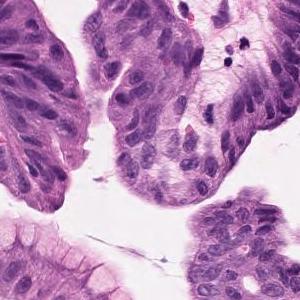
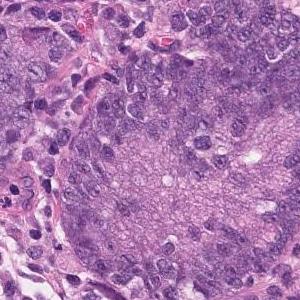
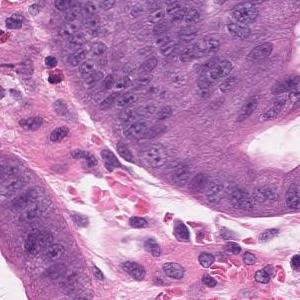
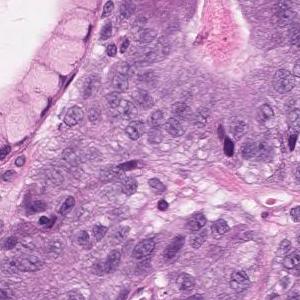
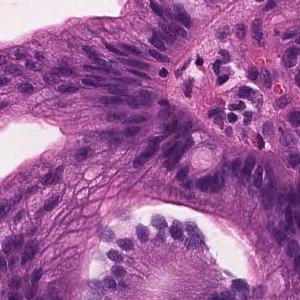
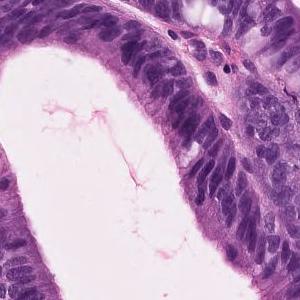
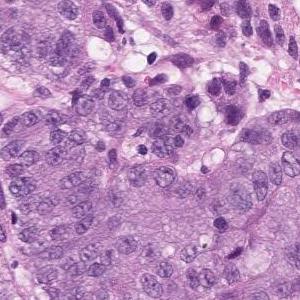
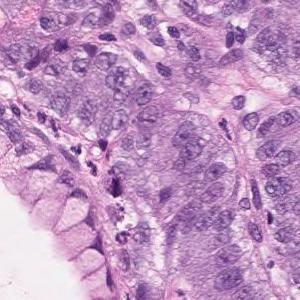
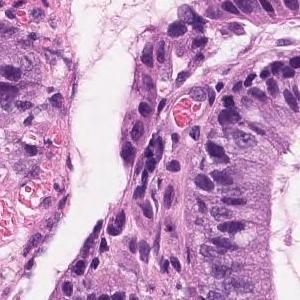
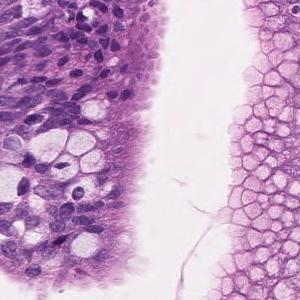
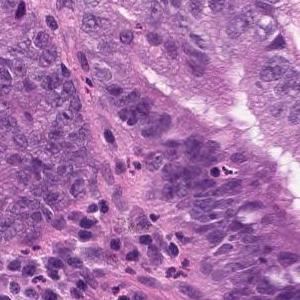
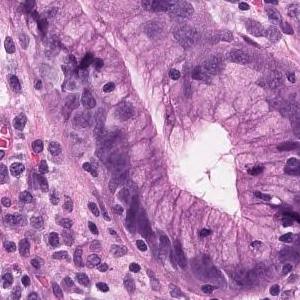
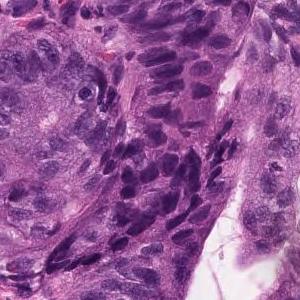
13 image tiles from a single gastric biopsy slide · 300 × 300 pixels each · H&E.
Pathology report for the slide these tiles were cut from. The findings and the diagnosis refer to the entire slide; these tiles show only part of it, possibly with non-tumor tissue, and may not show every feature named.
On the superficial epithelium, tumor tissue consisting of large, irregular glandular ducts partially fused and infiltrated is observed. Well to moderately differentiated tubular adenocarcinoma (well differentiated tubular adenocarcinoma, moderately differentiated tubular adenocarcinoma)
Histologic type: Well to moderately differentiated tubular adenocarcinoma.
